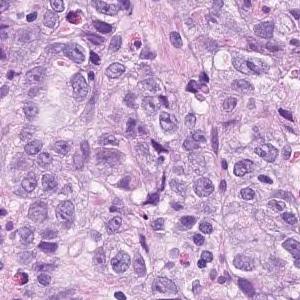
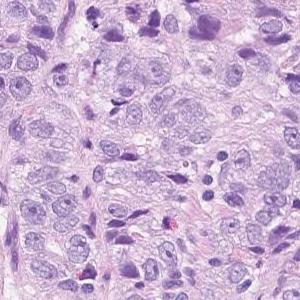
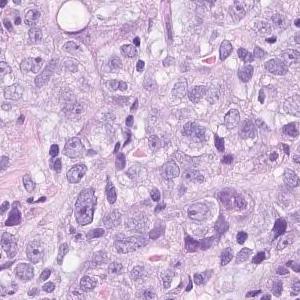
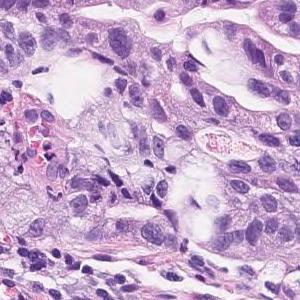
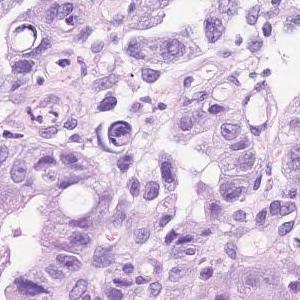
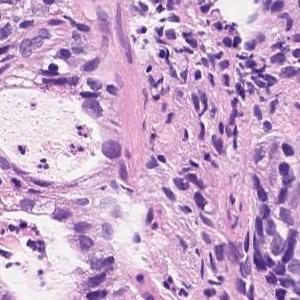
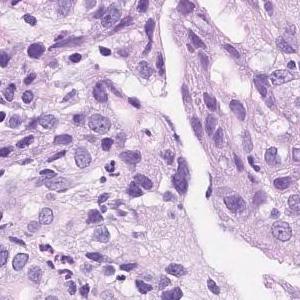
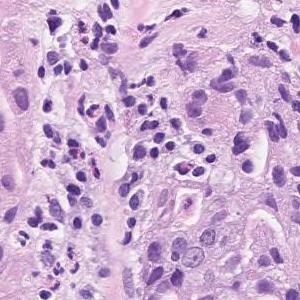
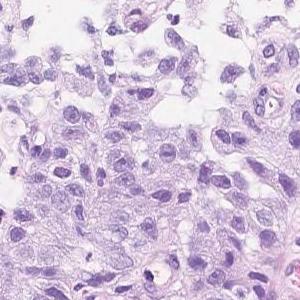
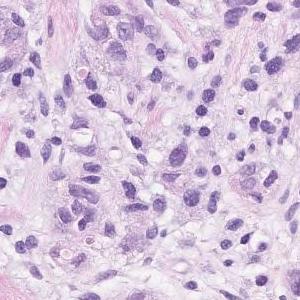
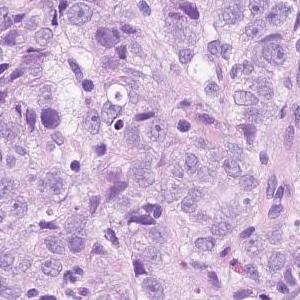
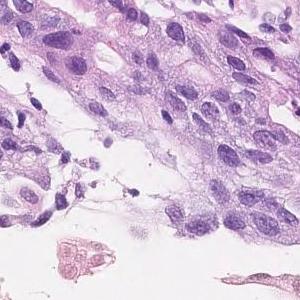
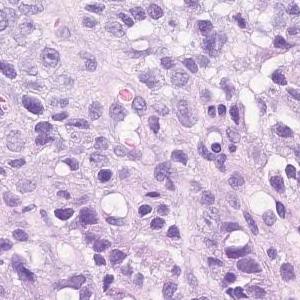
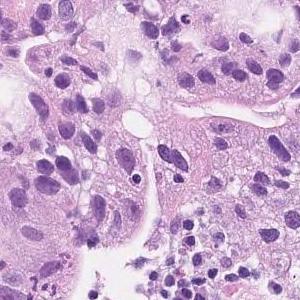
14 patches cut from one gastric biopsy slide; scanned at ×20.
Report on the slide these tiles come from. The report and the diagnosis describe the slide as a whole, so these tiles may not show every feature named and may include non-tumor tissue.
In the superficial epithelium, tumor tissue that invades by forming medium-sized to small, irregular ducts is observed. Moderately to poorly differentiated adenocarcinoma
